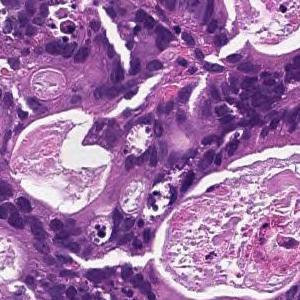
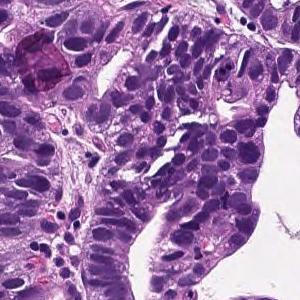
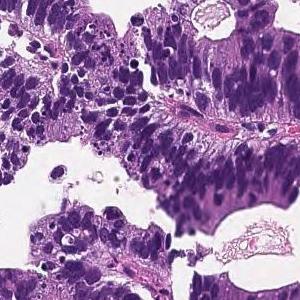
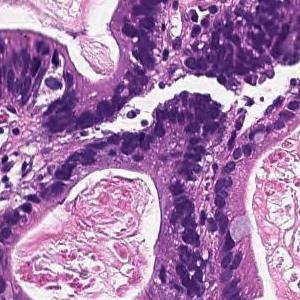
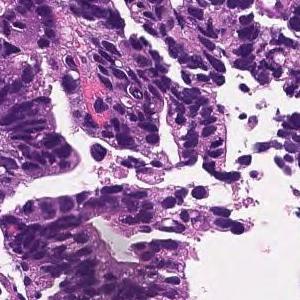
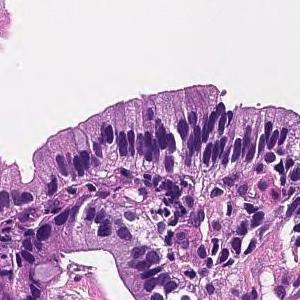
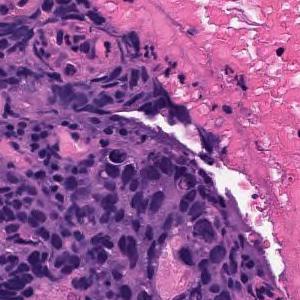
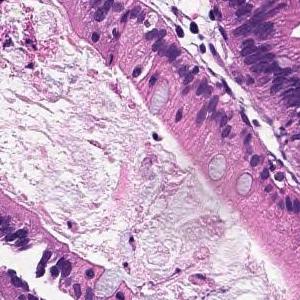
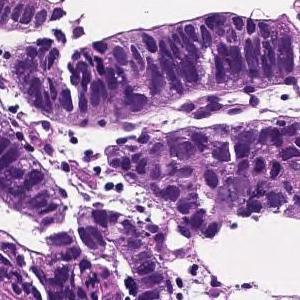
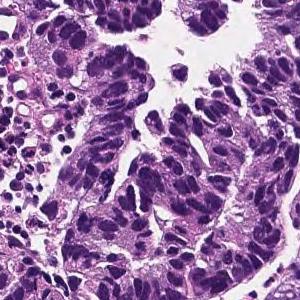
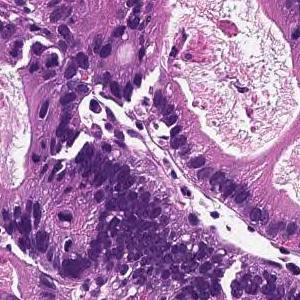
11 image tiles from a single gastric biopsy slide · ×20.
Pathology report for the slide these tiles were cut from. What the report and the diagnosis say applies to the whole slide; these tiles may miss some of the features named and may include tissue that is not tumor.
In the superficial epithelium, tumor tissue that invades by forming medium-sized to small, irregular ducts is observed. moderately differentiated tubular adenocarcinoma.
